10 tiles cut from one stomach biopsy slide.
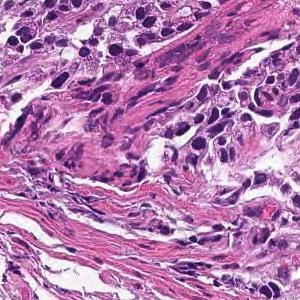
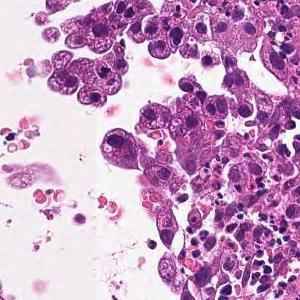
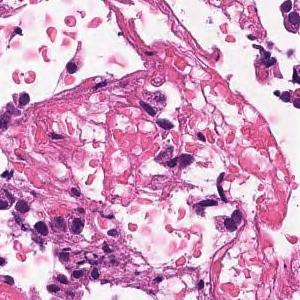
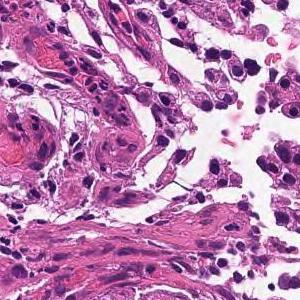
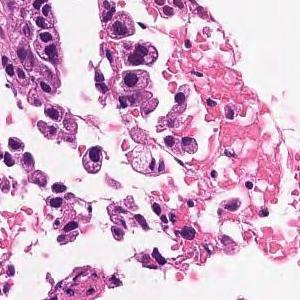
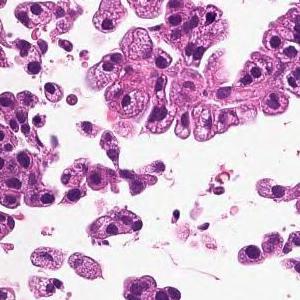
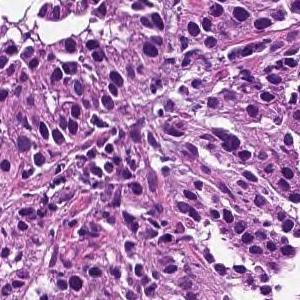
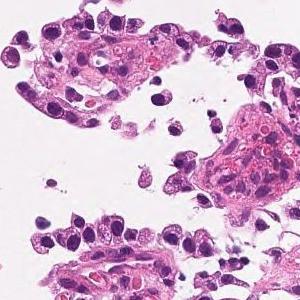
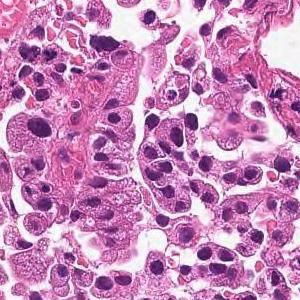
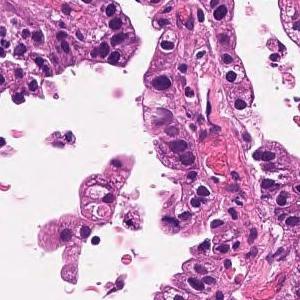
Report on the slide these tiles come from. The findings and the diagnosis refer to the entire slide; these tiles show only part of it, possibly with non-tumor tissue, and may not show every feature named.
In the superficial epithelium, tumor tissue that invades by forming medium-sized to small, irregular ducts is observed. moderately differentiated tubular adenocarcinoma.
